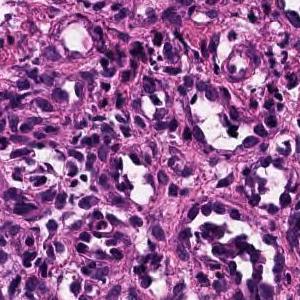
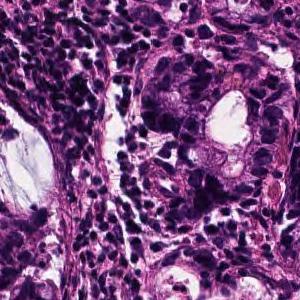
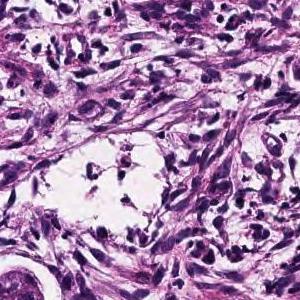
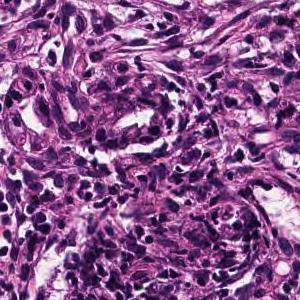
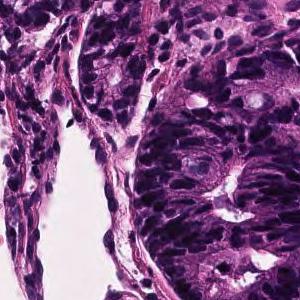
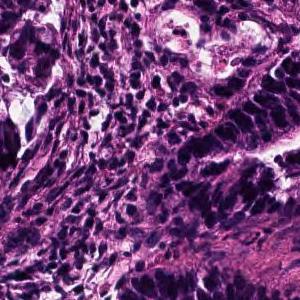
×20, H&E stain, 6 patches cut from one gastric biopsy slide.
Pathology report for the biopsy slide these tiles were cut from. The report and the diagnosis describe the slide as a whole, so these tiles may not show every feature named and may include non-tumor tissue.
On the superficial epithelium, tumor tissue consisting of large, irregular glandular ducts partially fused and infiltrated is observed. Well to moderately differentiated tubular adenocarcinoma (well differentiated tubular adenocarcinoma, moderately differentiated tubular adenocarcinoma)
Classified as well to moderately differentiated tubular adenocarcinoma.
